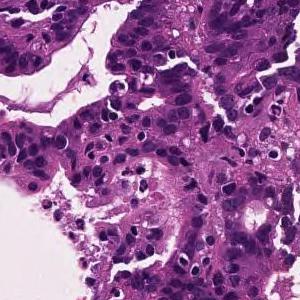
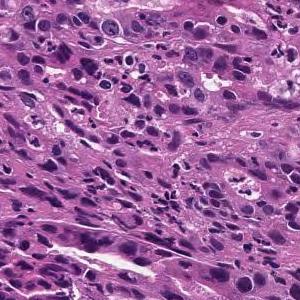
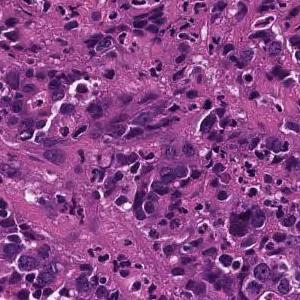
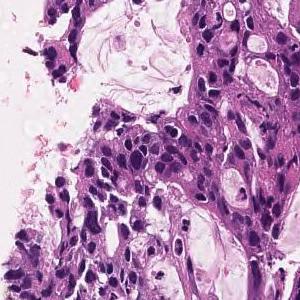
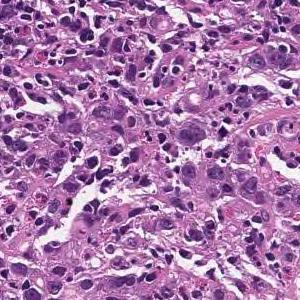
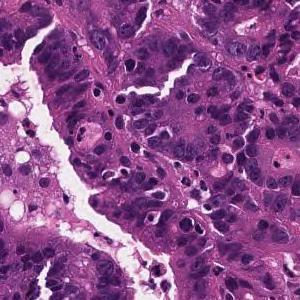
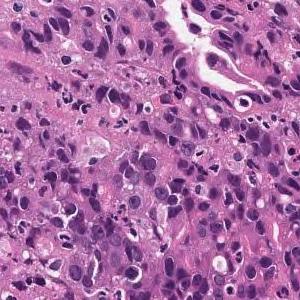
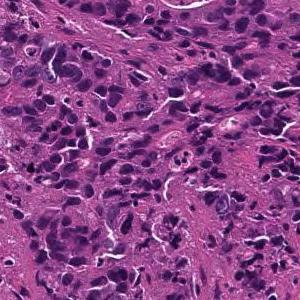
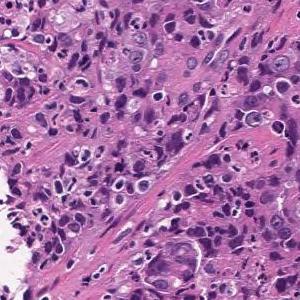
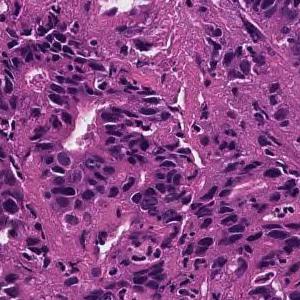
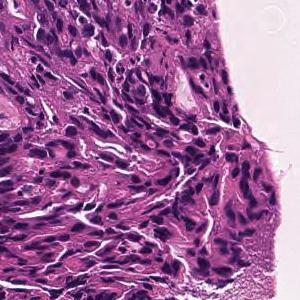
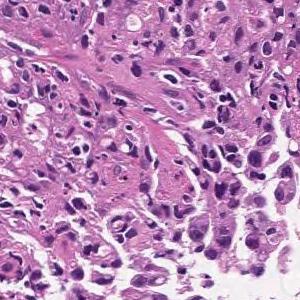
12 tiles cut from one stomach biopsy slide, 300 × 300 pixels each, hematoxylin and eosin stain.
The pathologist's report on the biopsy slide these tiles were taken from. The report describes the whole slide, diagnosis included: not every finding it names need appear in these tiles, which may also show non-tumor tissue.
In the superficial epithelium, tumor tissue that invades by forming medium-sized to small, irregular ducts is observed. moderately differentiated tubular adenocarcinoma.
